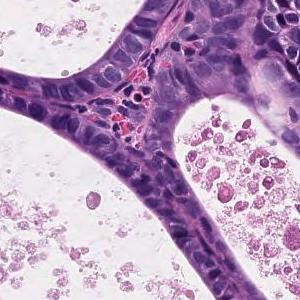
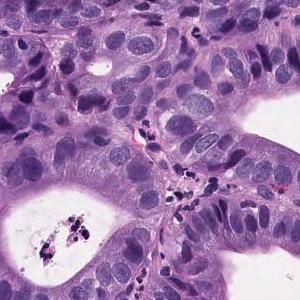
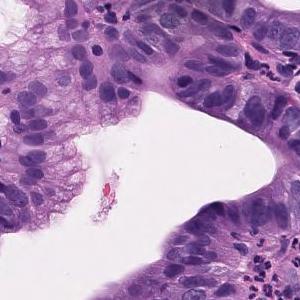
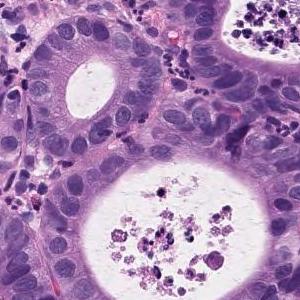
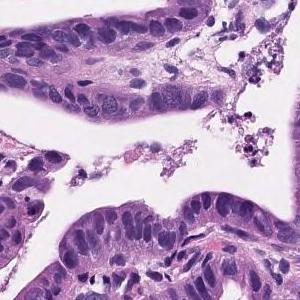
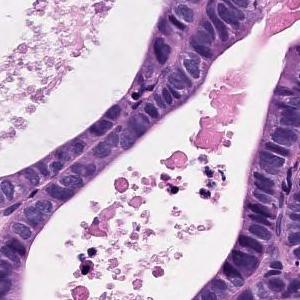
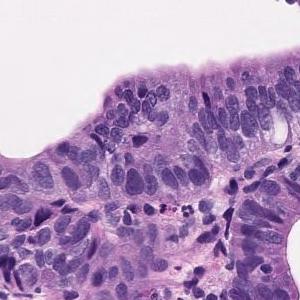
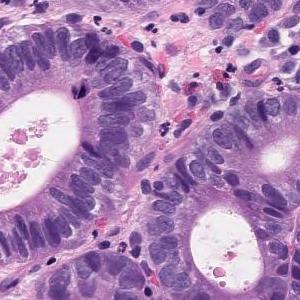
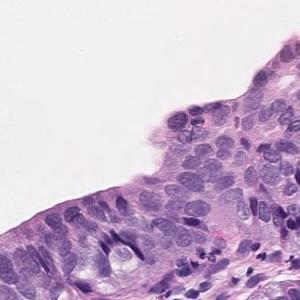
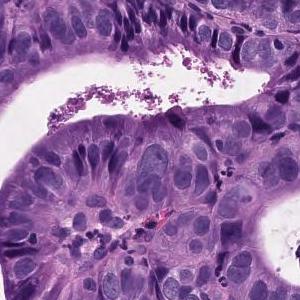
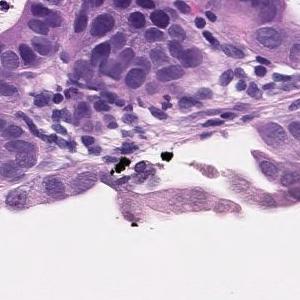
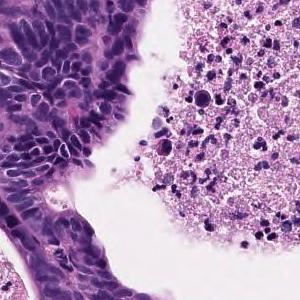
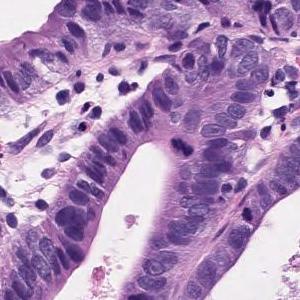
Hematoxylin and eosin stain, ×20, 13 patches cut from one gastric biopsy slide.
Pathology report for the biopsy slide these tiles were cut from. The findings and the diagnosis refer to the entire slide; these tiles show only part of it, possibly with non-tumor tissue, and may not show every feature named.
Tumor tissue consisting of proliferative medium to large, round or irregular glandular ducts in the superficial epithelium. Well differentiated adenocarcinoma.
Subtype: Well differentiated tubular adenocarcinoma.
